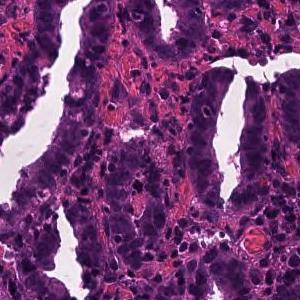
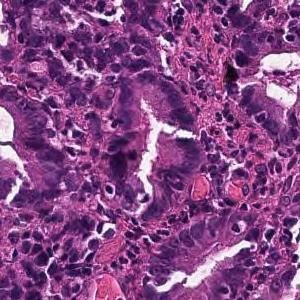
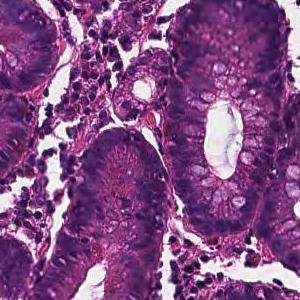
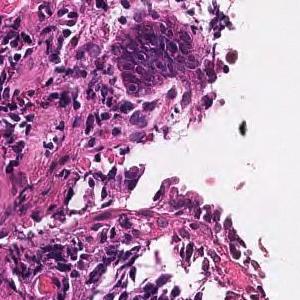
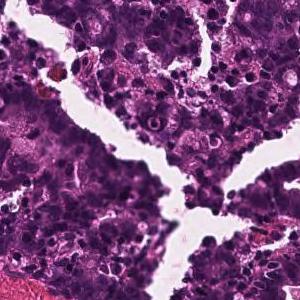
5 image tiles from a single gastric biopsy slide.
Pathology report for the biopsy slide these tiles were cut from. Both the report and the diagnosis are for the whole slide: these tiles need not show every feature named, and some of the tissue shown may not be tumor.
In the superficial epithelium, tumor tissue that invades by forming medium-sized to small, irregular ducts is observed. moderately differentiated tubular adenocarcinoma.
